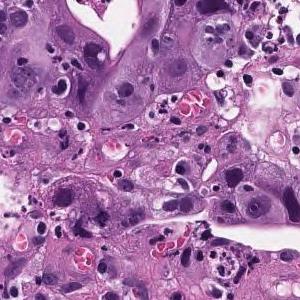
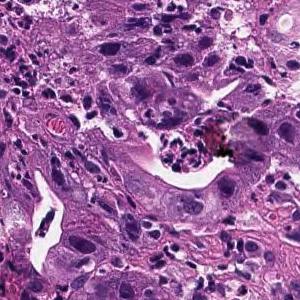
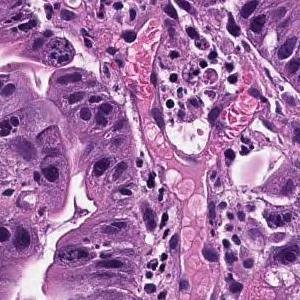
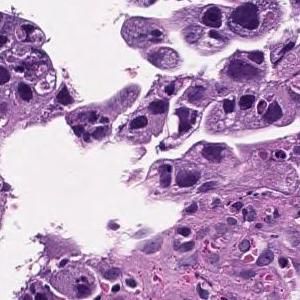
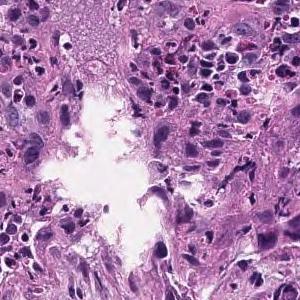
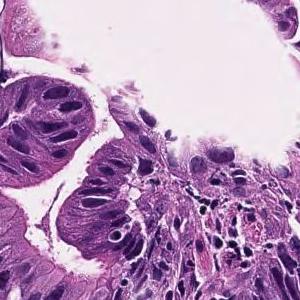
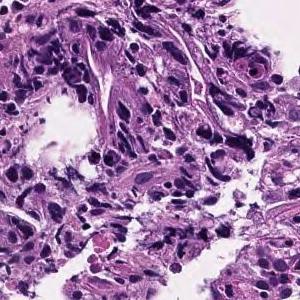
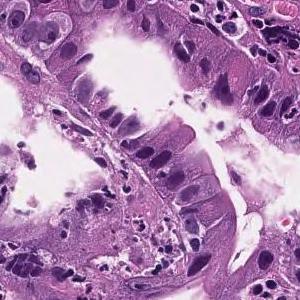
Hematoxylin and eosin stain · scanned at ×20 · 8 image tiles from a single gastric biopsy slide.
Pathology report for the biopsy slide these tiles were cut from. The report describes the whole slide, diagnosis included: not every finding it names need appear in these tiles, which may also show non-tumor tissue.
In the superficial epithelium, medium to small irregular gland ducts are formed, and in some cases, the ducts are fused to show solid alveolar lesions and infiltrating tumor tissue is observed. Moderately to poorly differentiated adenocarcinoma
